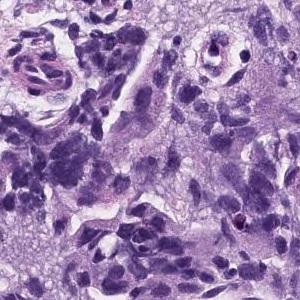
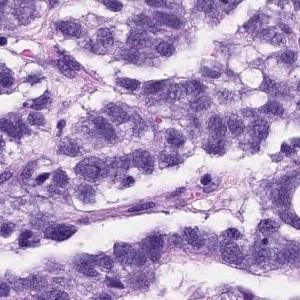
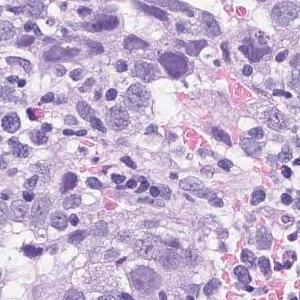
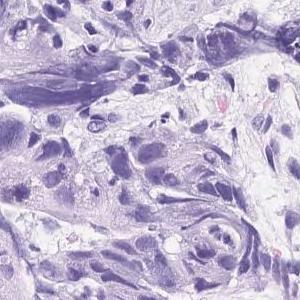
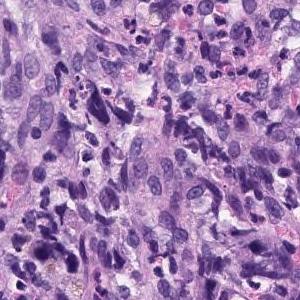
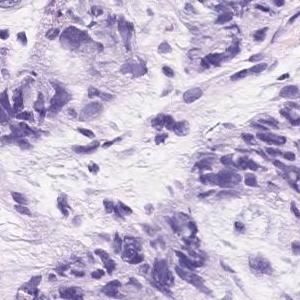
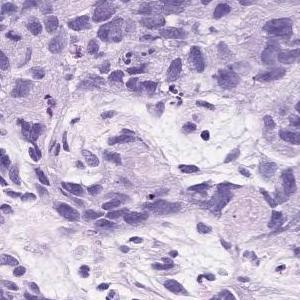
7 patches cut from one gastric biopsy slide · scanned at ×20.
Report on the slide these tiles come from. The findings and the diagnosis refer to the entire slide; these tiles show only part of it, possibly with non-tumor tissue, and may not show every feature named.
Atypical epithelial cells with an increased N/C ratio proliferate and consist of a part that shows the formation of gland ducts and a part that shows solid growth. Poorly differentiated adenocarcinoma, solid-type
Histological subtype: Poorly differentiated adenocarcinoma, solid type, a category of the Japanese Classification of Gastric Carcinoma; in the WHO 2019 classification it is tubular adenocarcinoma, poorly differentiated.
